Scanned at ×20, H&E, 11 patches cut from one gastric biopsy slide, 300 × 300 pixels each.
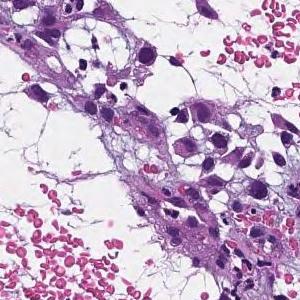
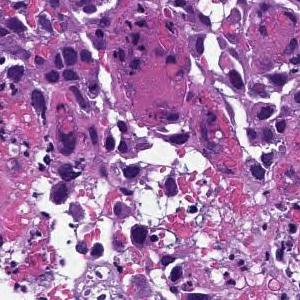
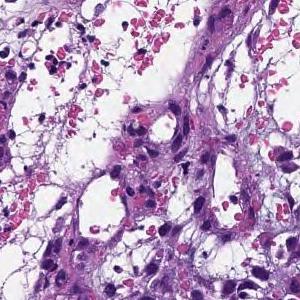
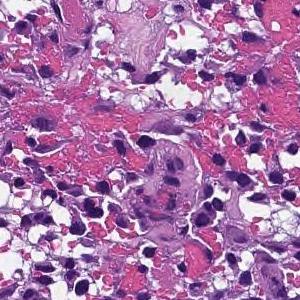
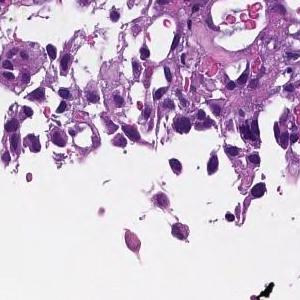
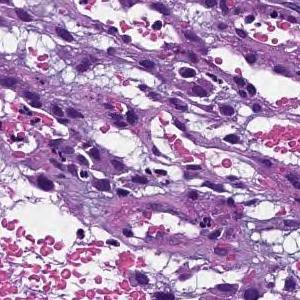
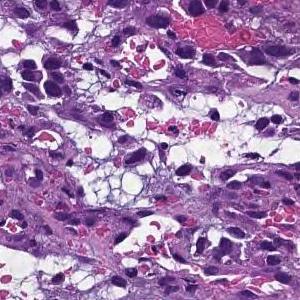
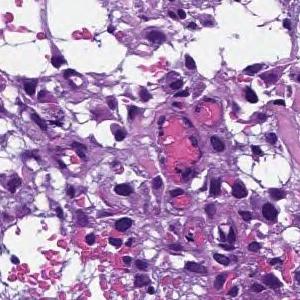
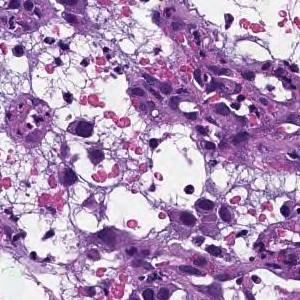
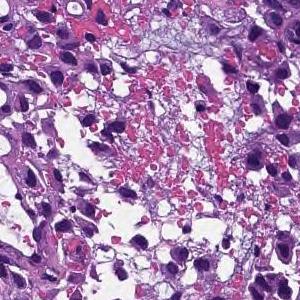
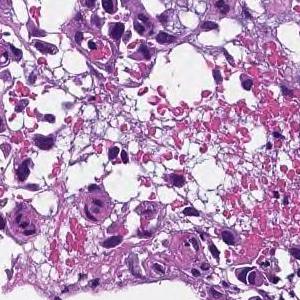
The pathologist's report on the biopsy slide these tiles were taken from. The report describes the whole slide, diagnosis included: not every finding it names need appear in these tiles, which may also show non-tumor tissue.
Tumor tissue consisting of cord-like or small, irregular glandular ducts fused and infiltrated is observed in the superficial epithelium. Poorly differentiated adenocarcinoma, non-solid type
"Non-solid type" is a category of the Japanese Classification of Gastric Carcinoma.
